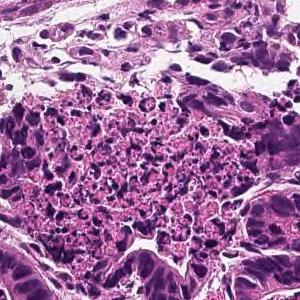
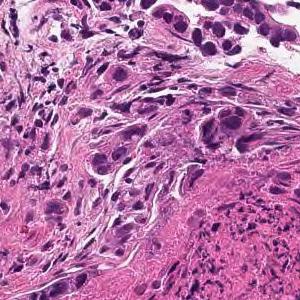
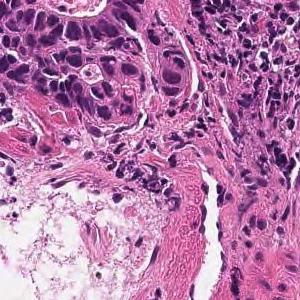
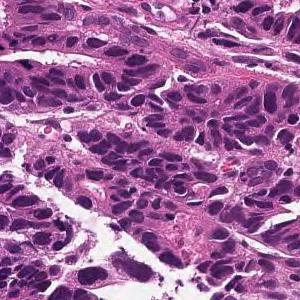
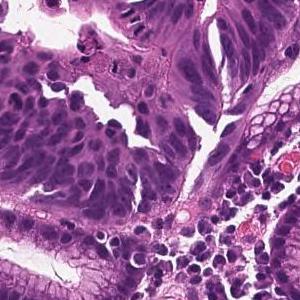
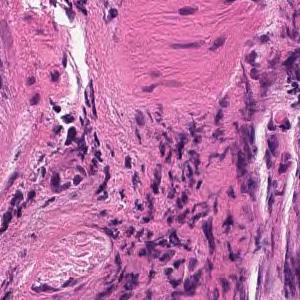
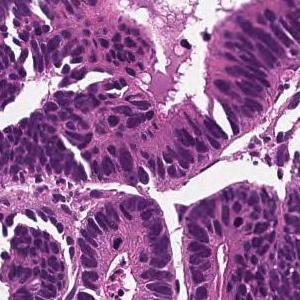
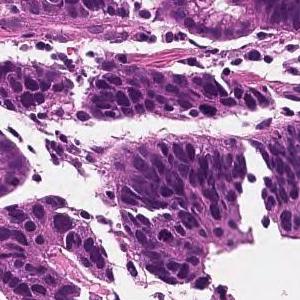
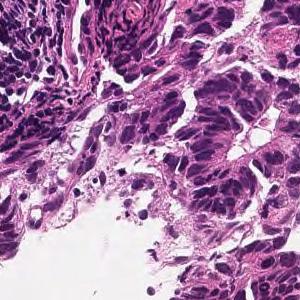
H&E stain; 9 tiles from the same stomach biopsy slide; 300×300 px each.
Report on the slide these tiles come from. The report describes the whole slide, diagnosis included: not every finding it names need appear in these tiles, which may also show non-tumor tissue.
From the superficial epithelium to the muscularis mucosae, tumor tissue consisting of medium-sized and irregular glandular ducts infiltrating is observed. Well differentiated tubular adenocarcinoma
